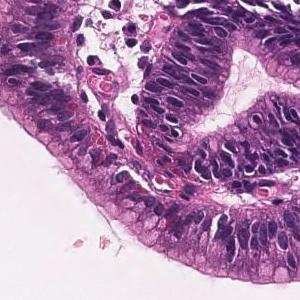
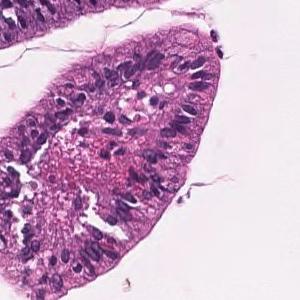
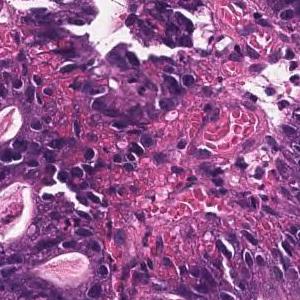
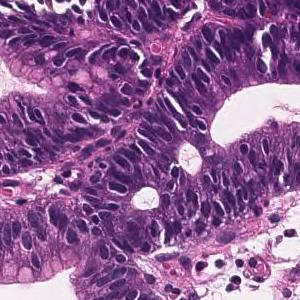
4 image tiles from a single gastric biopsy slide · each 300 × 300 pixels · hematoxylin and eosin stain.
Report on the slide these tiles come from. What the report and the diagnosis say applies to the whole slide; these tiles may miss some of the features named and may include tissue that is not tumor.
On the superficial epithelium, tumor tissue that infiltrates by forming medium-sized papillary or small irregular ducts is observed. Papillary adenocarcinoma
